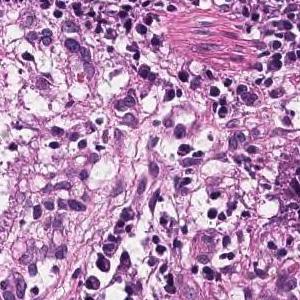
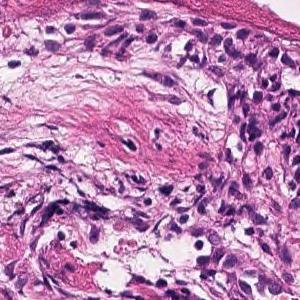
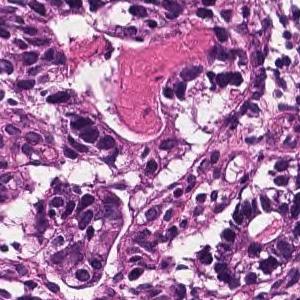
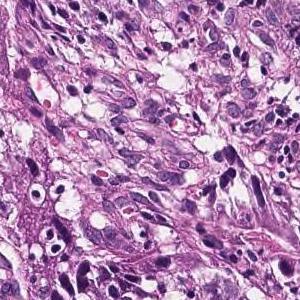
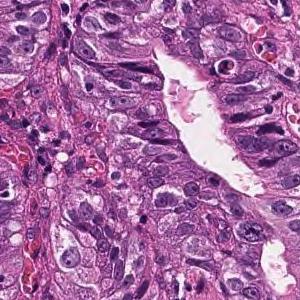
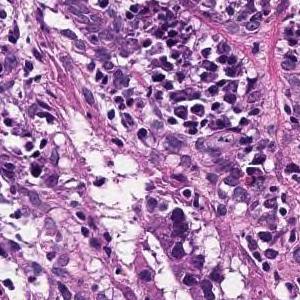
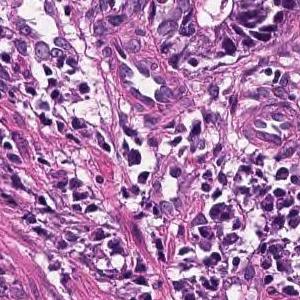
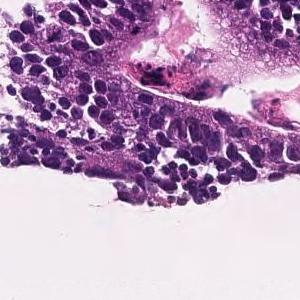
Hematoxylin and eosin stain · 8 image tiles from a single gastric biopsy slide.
Report on the slide these tiles come from. The report and the diagnosis cover the entire slide, so not every feature they name need be visible here, and some tissue shown may not be tumor.
From the superficial epithelium to the muscularis mucosae, tumor tissue infiltrating by forming medium-sized irregular gland ducts is observed. Large tumor cells exhibit large nucleus and hyperchromatism. Well differentiated tubular adenocarcinoma
